4 image tiles from a single gastric biopsy slide, 300×300 px each, scanned at ×20, H&E.
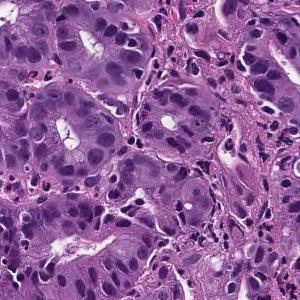
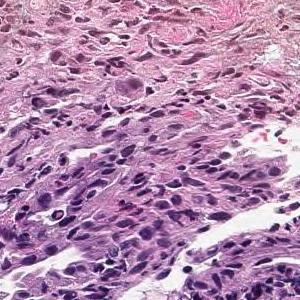
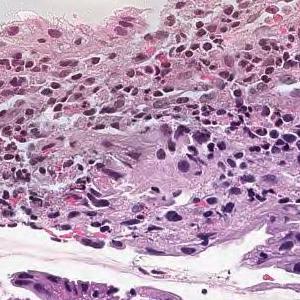
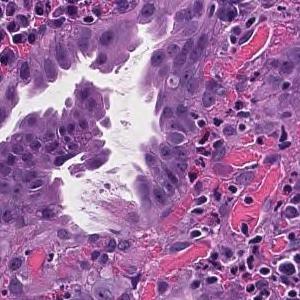
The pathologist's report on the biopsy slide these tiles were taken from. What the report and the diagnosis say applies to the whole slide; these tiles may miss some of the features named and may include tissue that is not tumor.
On the superficial epithelium, tumor tissue consisting of large, irregular glandular ducts partially fused and infiltrated is observed. Well to moderately differentiated tubular adenocarcinoma (well differentiated tubular adenocarcinoma, moderately differentiated tubular adenocarcinoma)
Histologic type: Well to moderately differentiated tubular adenocarcinoma.
